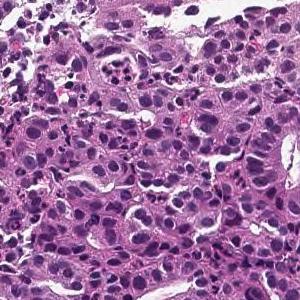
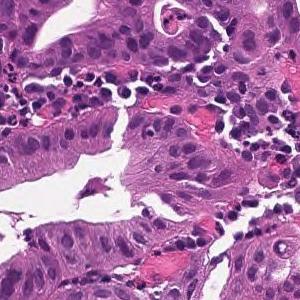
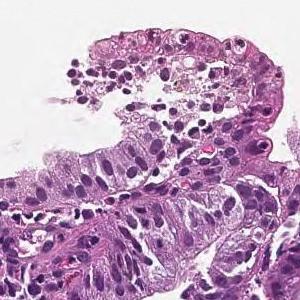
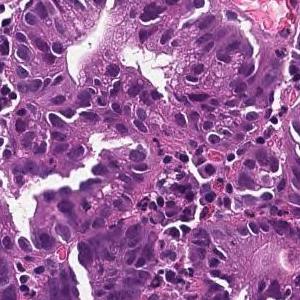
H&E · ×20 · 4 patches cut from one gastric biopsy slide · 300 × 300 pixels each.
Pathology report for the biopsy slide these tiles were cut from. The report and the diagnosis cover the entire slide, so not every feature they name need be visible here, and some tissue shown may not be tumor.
From the superficial epithelium to the muscularis mucosae, tumor tissue consisting of medium-sized and irregular glandular ducts infiltrating is observed. Well differentiated tubular adenocarcinoma
